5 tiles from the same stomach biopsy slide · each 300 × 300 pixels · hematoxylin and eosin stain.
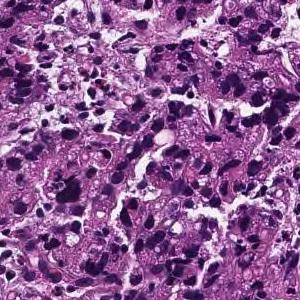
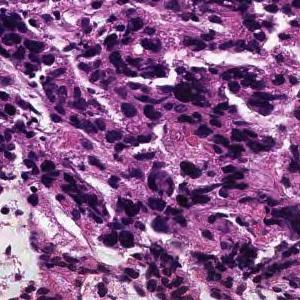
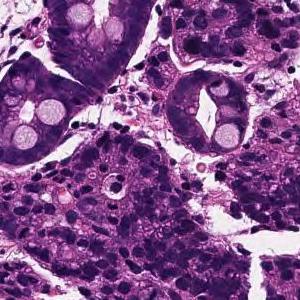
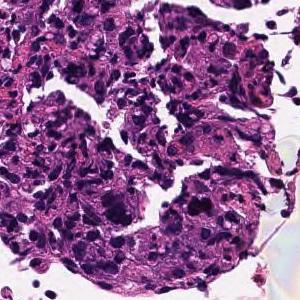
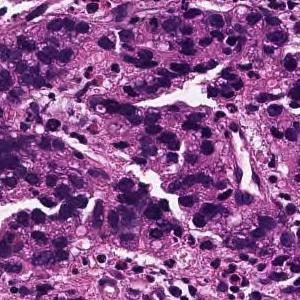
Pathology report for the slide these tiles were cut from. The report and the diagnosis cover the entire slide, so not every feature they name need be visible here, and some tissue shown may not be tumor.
Tumor tissue consisting of medium-sized, cord-like or irregular glandular infiltration is observed in the superficial epithelium. Poorly differentiated adenocarcinoma, non-solid type or moderately differentiated tubular adenocarcinoma
Histological subtype: Moderately to poorly differentiated adenocarcinoma.
"Non-solid type" is a category of the Japanese Classification of Gastric Carcinoma.
